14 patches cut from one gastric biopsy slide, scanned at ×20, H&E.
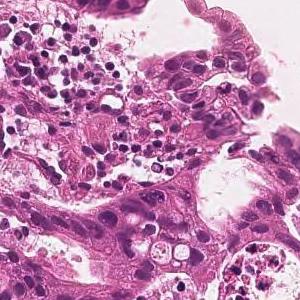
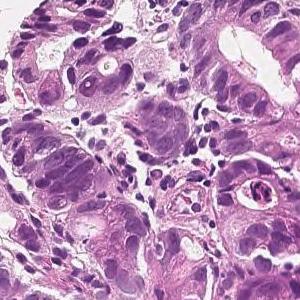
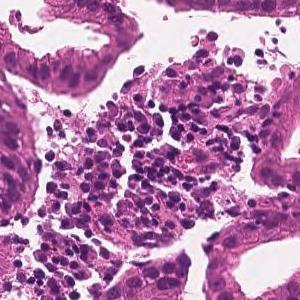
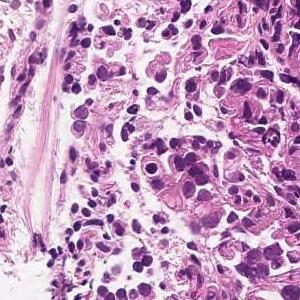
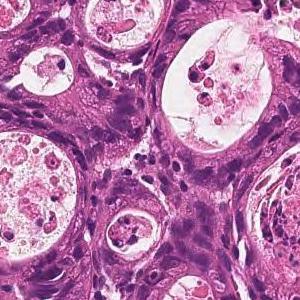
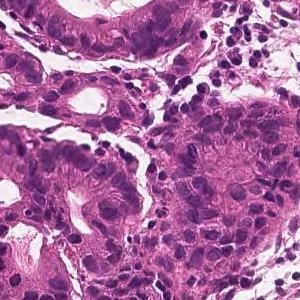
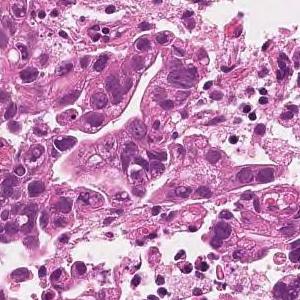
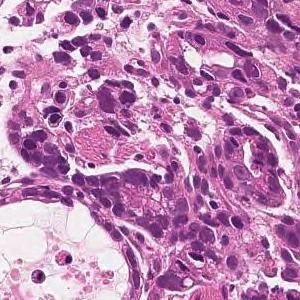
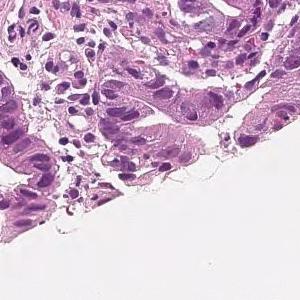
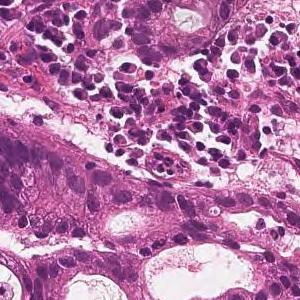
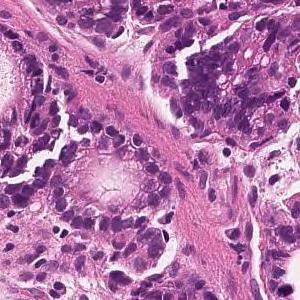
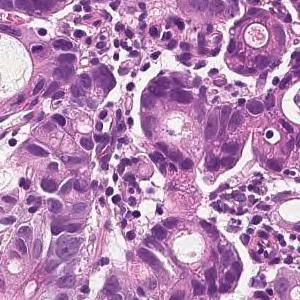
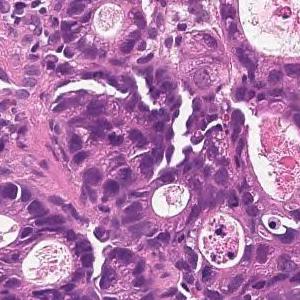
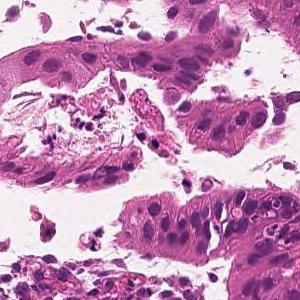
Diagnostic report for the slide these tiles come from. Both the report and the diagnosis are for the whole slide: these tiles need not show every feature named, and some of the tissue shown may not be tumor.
On the superficial epithelium, tumor tissue is found in which medium-sized irregular gland ducts fuse with each other and infiltrate. moderately differentiated tubular adenocarcinoma
